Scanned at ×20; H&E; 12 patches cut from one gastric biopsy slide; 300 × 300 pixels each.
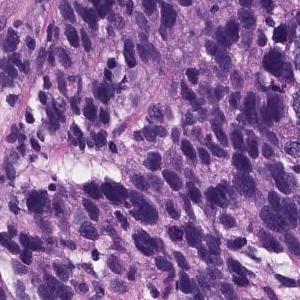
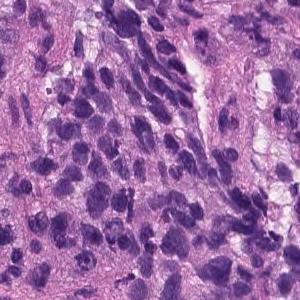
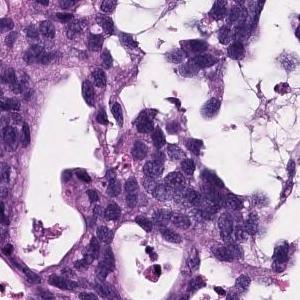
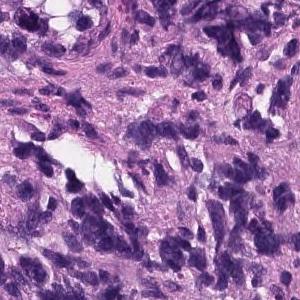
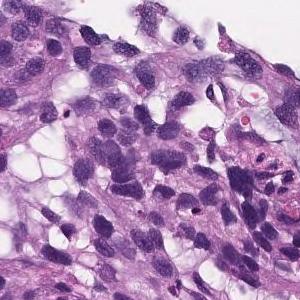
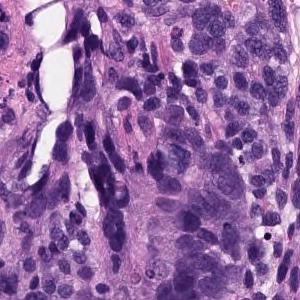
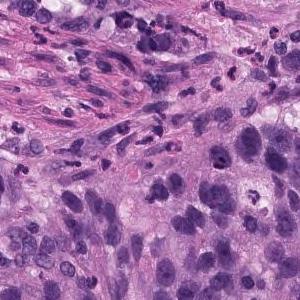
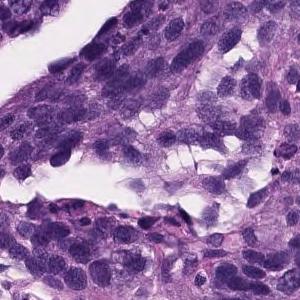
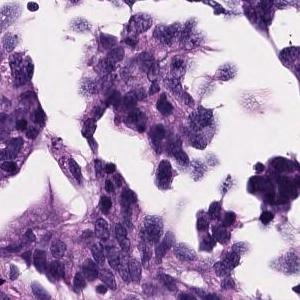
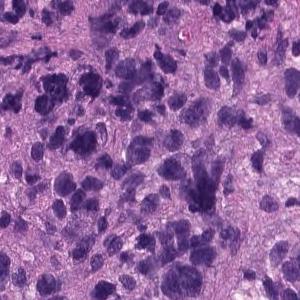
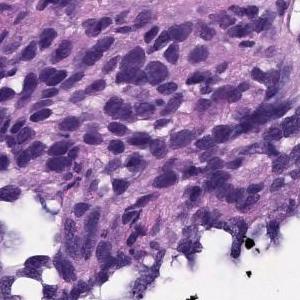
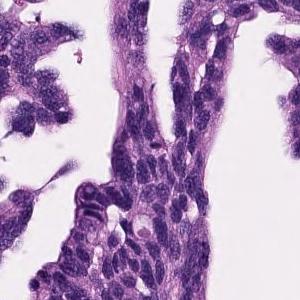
Diagnostic report for the slide these tiles come from. The report and the diagnosis cover the entire slide, so not every feature they name need be visible here, and some tissue shown may not be tumor.
Atypical l cells with atypical nuclei under the mucosa growing in isolation and scattered. Poorly differentiated adenocarcinoma (poorly differentiated adenocarcinoma, non-solid type)
Tumor subtype: poorly differentiated adenocarcinoma, non-solid type.
The term "non-solid type" comes from the Japanese Classification of Gastric Carcinoma.
